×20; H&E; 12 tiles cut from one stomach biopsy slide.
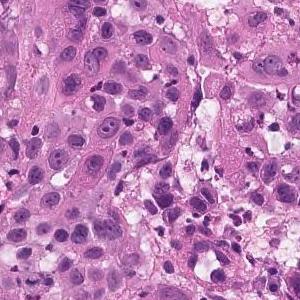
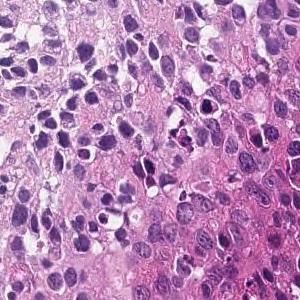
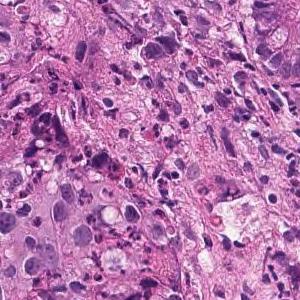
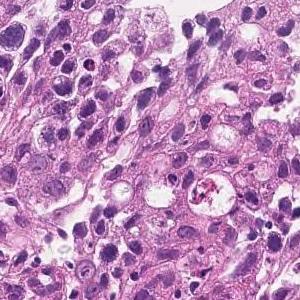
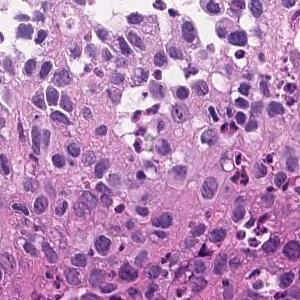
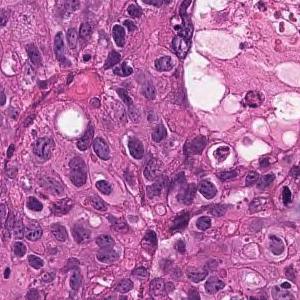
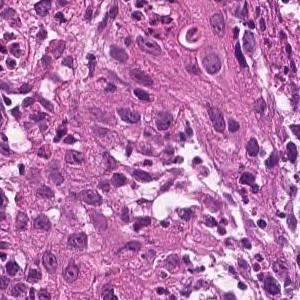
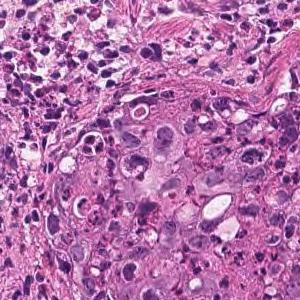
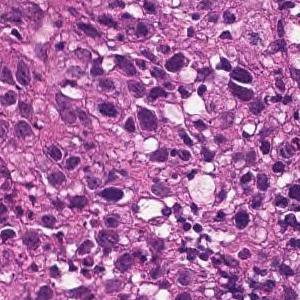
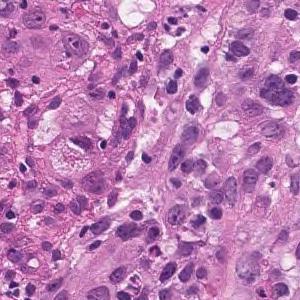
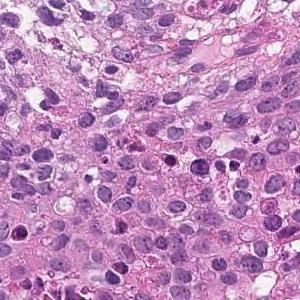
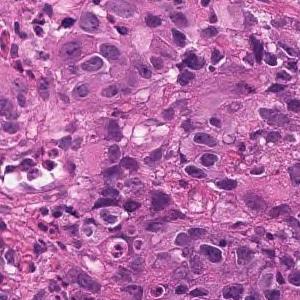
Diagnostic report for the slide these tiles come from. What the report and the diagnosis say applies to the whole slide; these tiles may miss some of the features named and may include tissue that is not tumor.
The superficial epithelium shows a large sheet-like shape, and some tumor tissue infiltrates with small irregular ducts. Poorly differentiated adenocarcinoma, solid-type
Tumor subtype: poorly differentiated adenocarcinoma, solid type, a category of the Japanese Classification of Gastric Carcinoma; in the WHO 2019 classification it is tubular adenocarcinoma, poorly differentiated.
